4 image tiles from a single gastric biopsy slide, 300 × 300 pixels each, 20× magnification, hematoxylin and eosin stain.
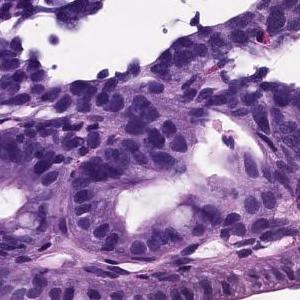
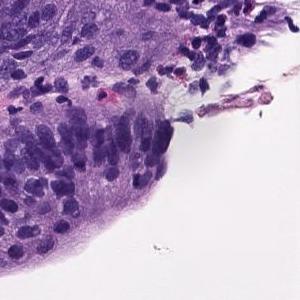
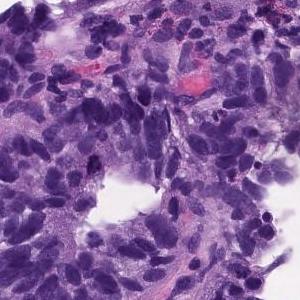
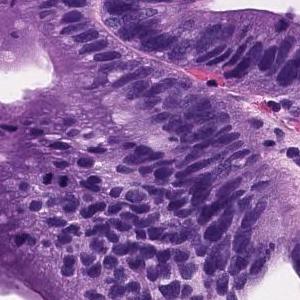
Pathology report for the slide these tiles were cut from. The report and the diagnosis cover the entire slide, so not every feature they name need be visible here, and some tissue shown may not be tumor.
Atypical epithelial cells are proliferating to replace the foveolar epithelium is observed. Well differentiated tubular adenocarcinoma.
